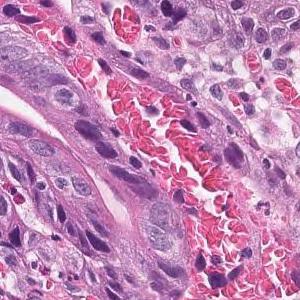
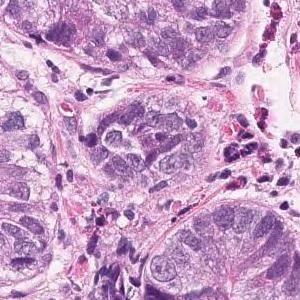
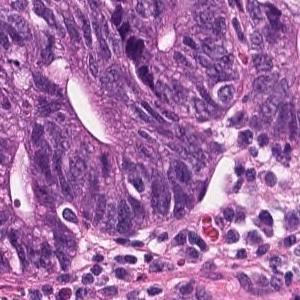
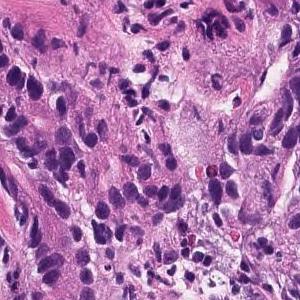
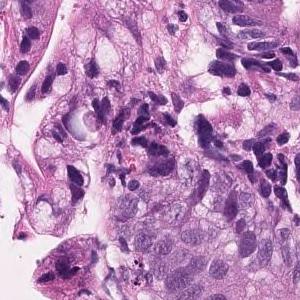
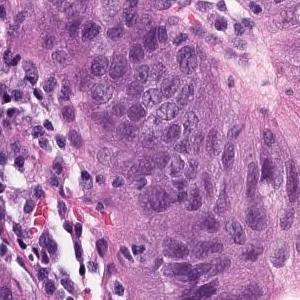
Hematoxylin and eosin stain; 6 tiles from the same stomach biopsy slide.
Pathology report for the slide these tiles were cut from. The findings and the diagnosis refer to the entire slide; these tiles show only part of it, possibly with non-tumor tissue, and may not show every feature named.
Tumor cells are large, highly columnar, large club-shaped nuclei, and are associated with chromatin aggregation. Papillary adenocarcinoma.
